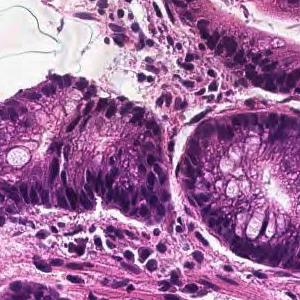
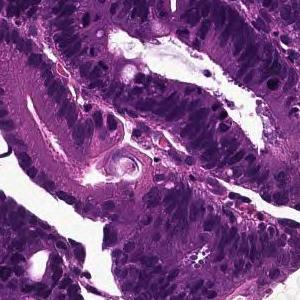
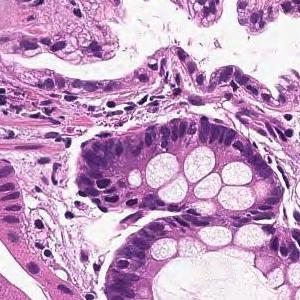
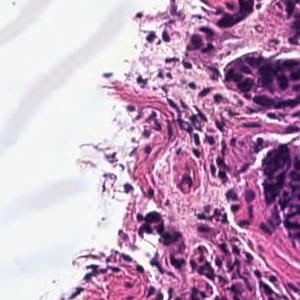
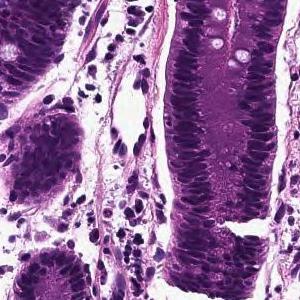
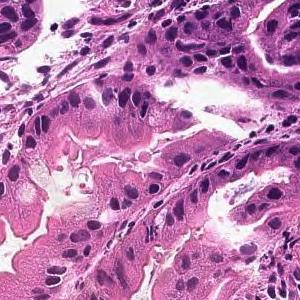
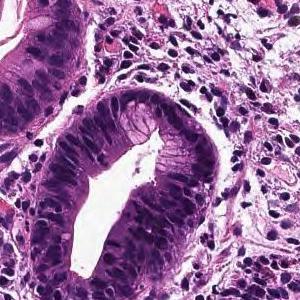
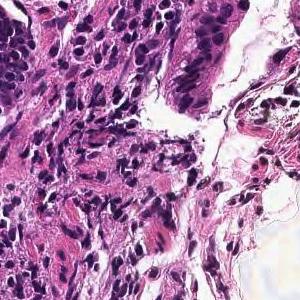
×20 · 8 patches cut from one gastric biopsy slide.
Pathology report for the slide these tiles were cut from. What the report and the diagnosis say applies to the whole slide; these tiles may miss some of the features named and may include tissue that is not tumor.
From the superficial epithelium to the muscularis mucosae, tumor tissue consisting of medium-sized and irregular glandular ducts infiltrating is observed. Well differentiated tubular adenocarcinoma
